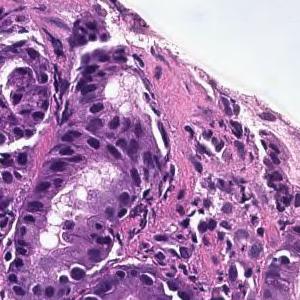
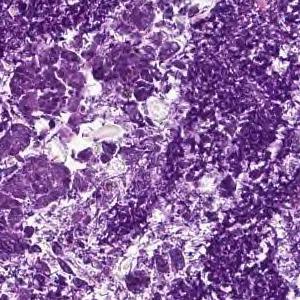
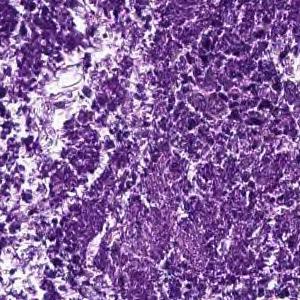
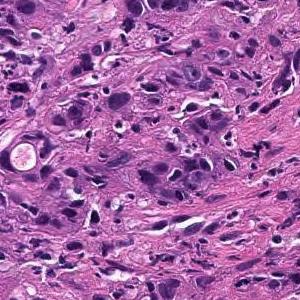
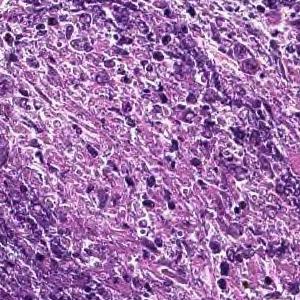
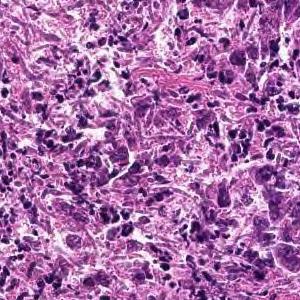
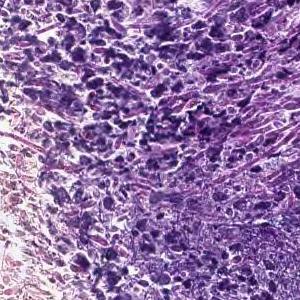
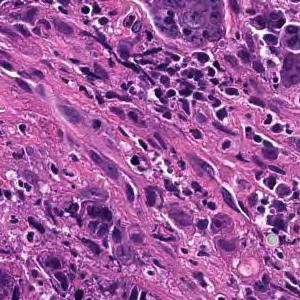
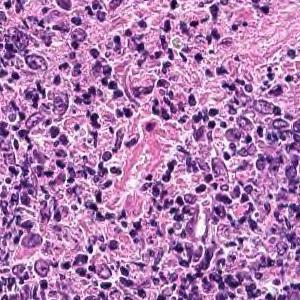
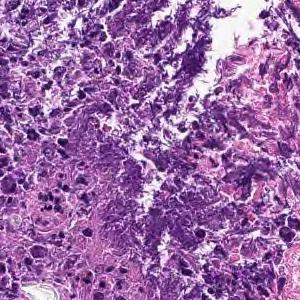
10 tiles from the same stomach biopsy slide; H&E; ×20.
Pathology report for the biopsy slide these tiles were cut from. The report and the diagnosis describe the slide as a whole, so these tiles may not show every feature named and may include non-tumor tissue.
Cancers with polygonal nuclei do not show glandular formation and are densely, in part, cord-like and proliferate. Poorly differentiated adenocarcinoma
Tumor subtype: poorly differentiated adenocarcinoma, non-solid type.
The non-solid type named here is a Japanese Classification of Gastric Carcinoma category.
